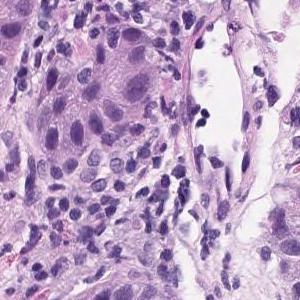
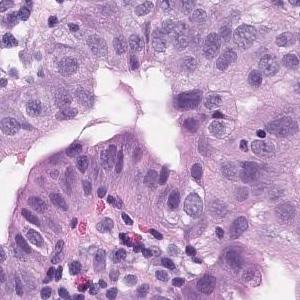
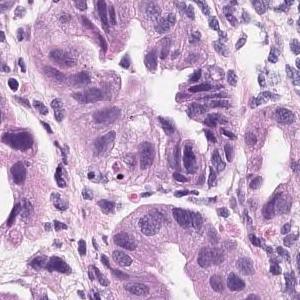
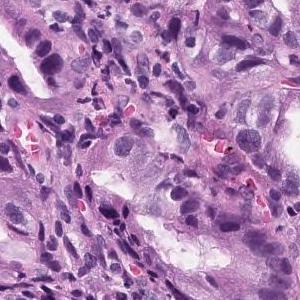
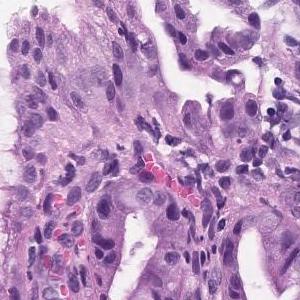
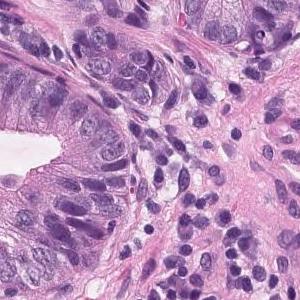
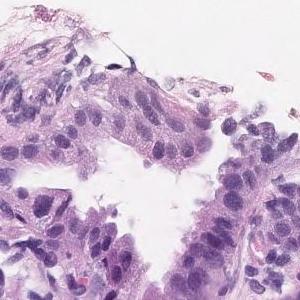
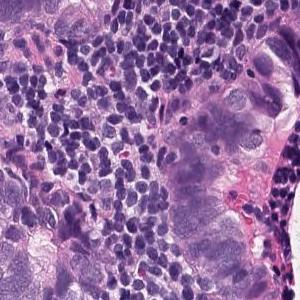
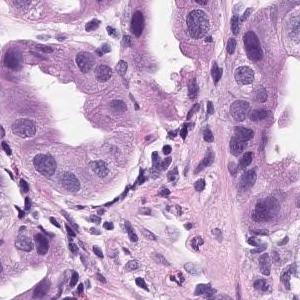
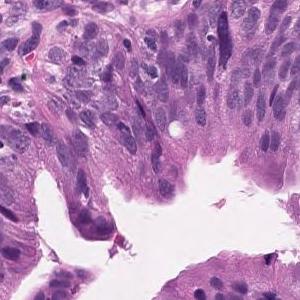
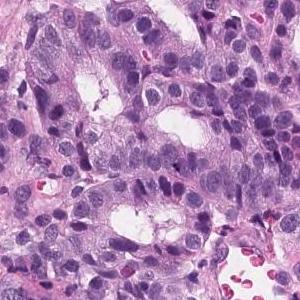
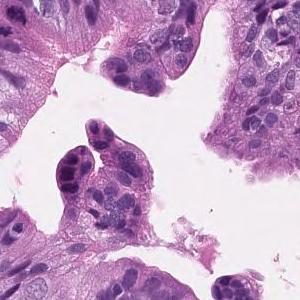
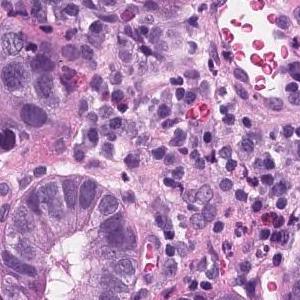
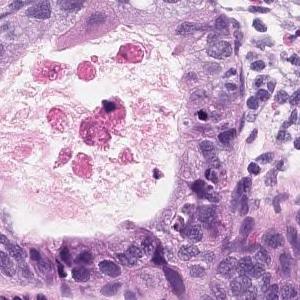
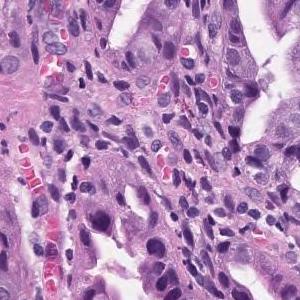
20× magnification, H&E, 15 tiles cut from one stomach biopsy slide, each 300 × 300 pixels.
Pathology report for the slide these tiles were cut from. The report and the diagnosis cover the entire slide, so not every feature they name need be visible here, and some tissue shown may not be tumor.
Tumor tissue consisting of medium-sized and irregular ducts is observed infiltrating in the superficial epithelium. Tumor cells are highly columnar, with nuclei aligned basolaterally and polarized. Well differentiated tubular adenocarcinoma.
